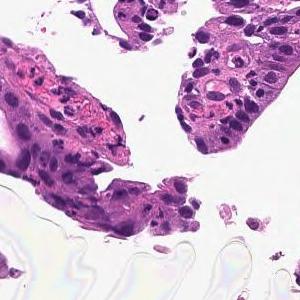
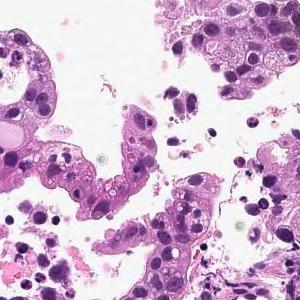
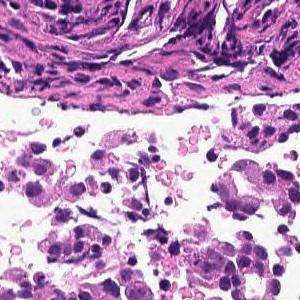
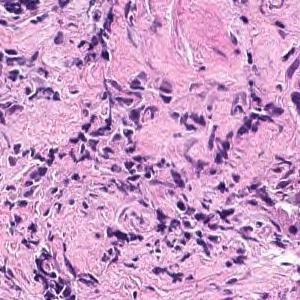
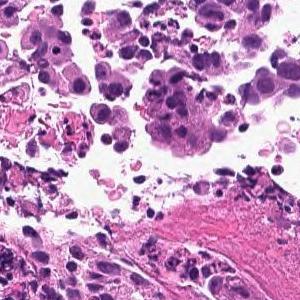
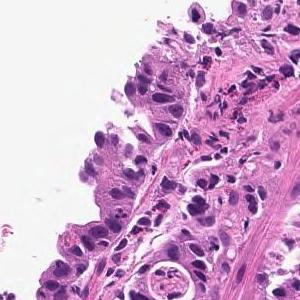
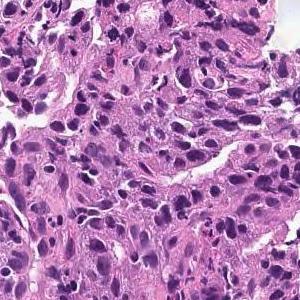
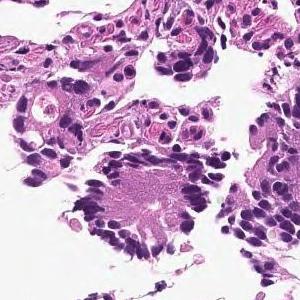
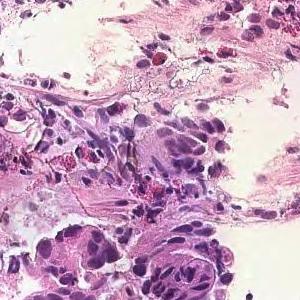
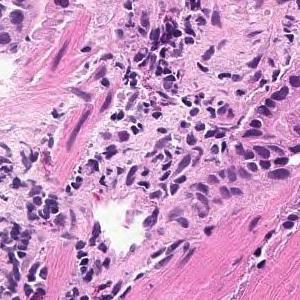
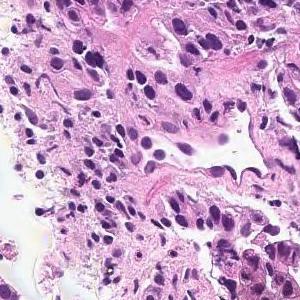
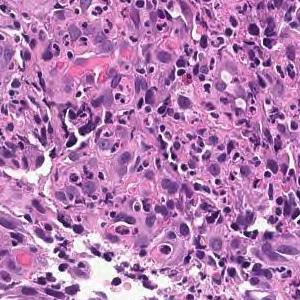
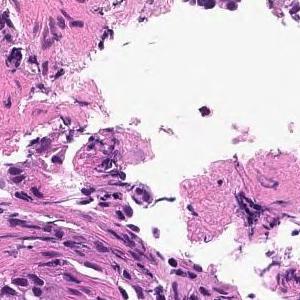
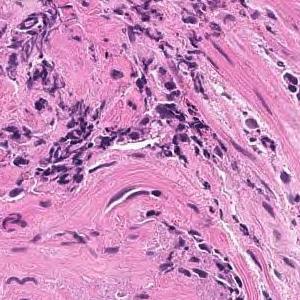
14 image tiles from a single gastric biopsy slide; 300 × 300 pixels each.
Diagnostic report for the slide these tiles come from. What the report and the diagnosis say applies to the whole slide; these tiles may miss some of the features named and may include tissue that is not tumor.
On the superficial epithelium, tumor tissue consisting of large irregular glandular ducts partially fused and infiltrated is observed. Well to moderately differentiated tubular adenocarcinoma (well differentiated tubular adenocarcinoma, moderately differentiated tubular adenocarcinoma)
Subtype: Well to moderately differentiated tubular adenocarcinoma.
